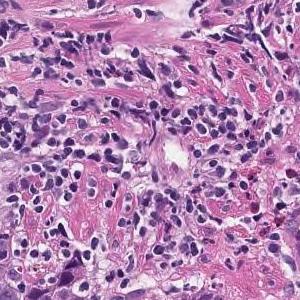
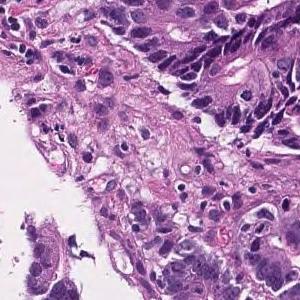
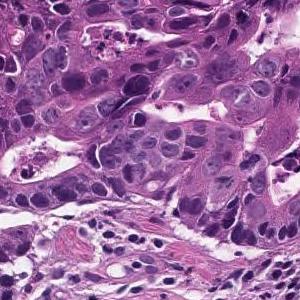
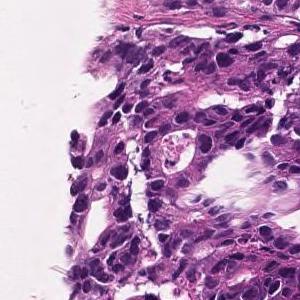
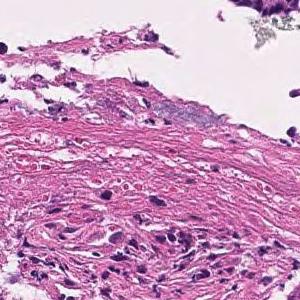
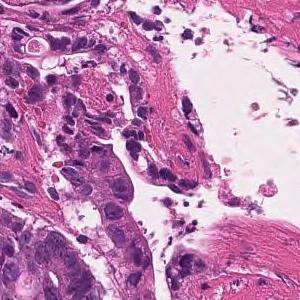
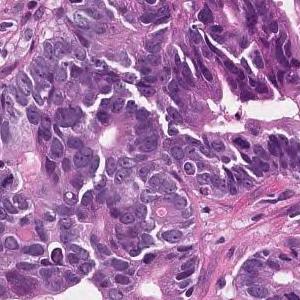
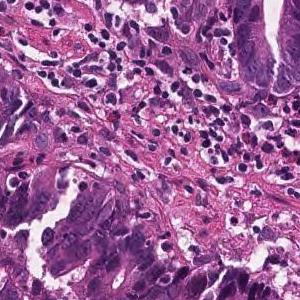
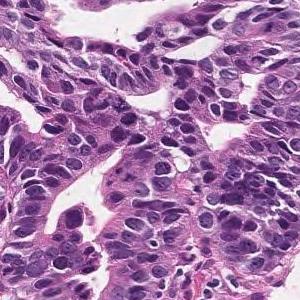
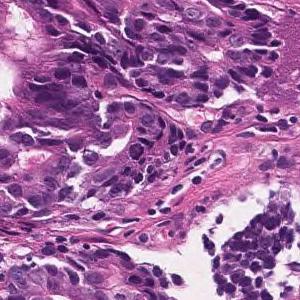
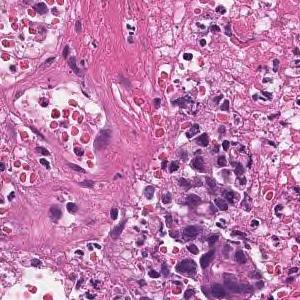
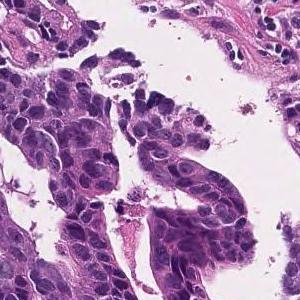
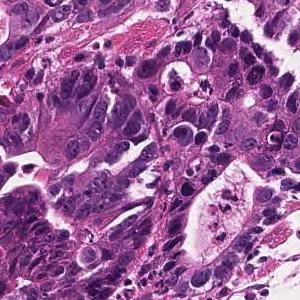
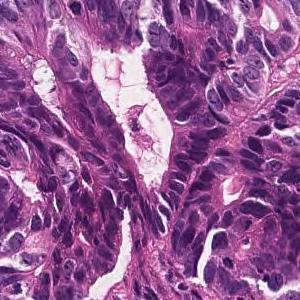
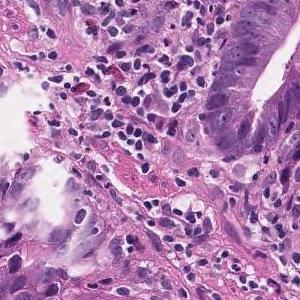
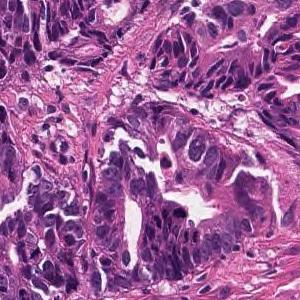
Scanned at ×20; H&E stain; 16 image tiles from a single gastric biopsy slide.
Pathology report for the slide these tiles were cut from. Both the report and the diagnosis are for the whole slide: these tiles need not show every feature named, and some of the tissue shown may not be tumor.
In the superficial epithelium, tumor tissue that invades by forming medium-sized to small, irregular ducts is observed. moderately differentiated tubular adenocarcinoma.
